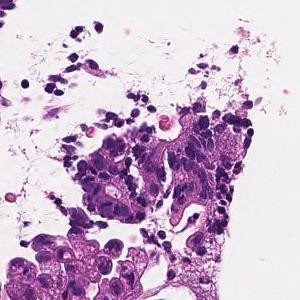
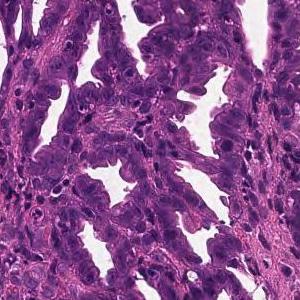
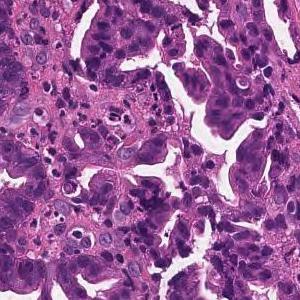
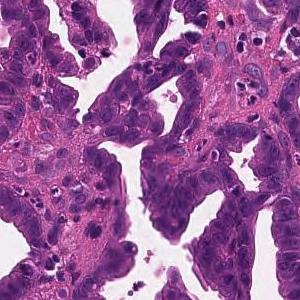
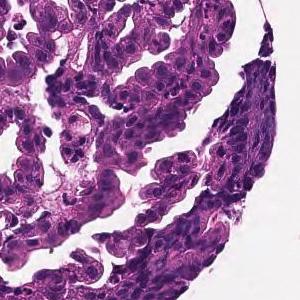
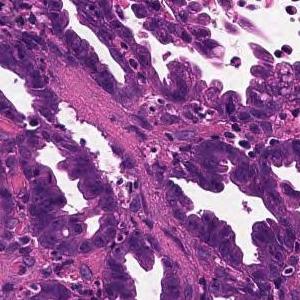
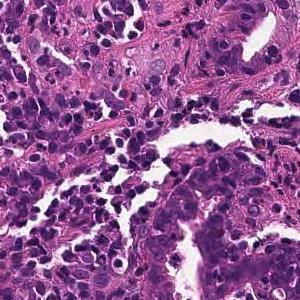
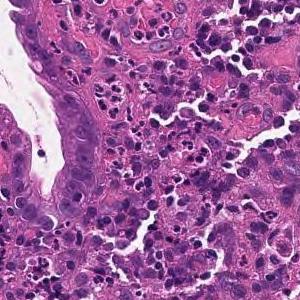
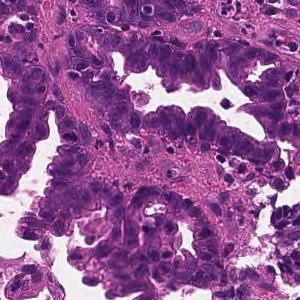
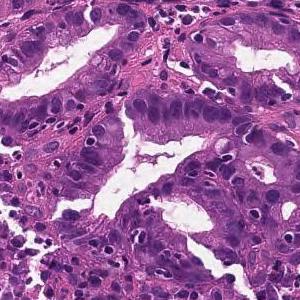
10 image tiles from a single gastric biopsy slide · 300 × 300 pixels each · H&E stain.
The pathologist's report on the biopsy slide these tiles were taken from. The report and the diagnosis cover the entire slide, so not every feature they name need be visible here, and some tissue shown may not be tumor.
From the superficial epithelium to the muscularis mucosae, tumor tissue consisting of medium-sized and irregular glandular ducts infiltrating is observed. Well differentiated tubular adenocarcinoma
